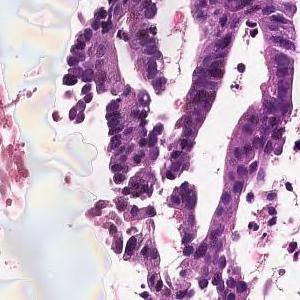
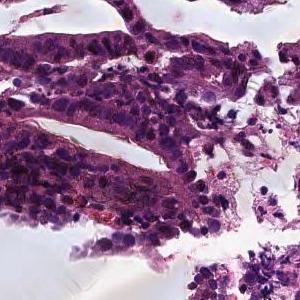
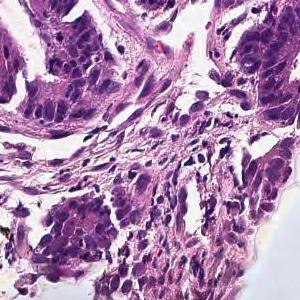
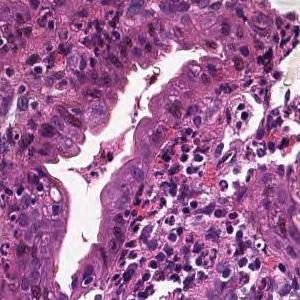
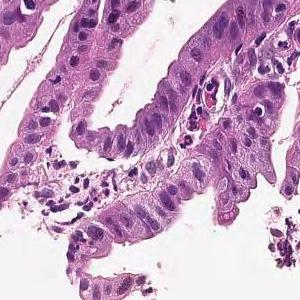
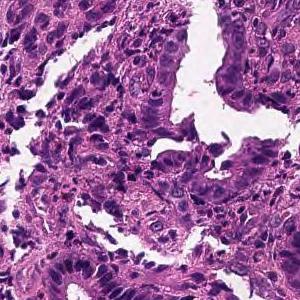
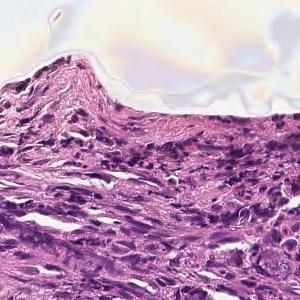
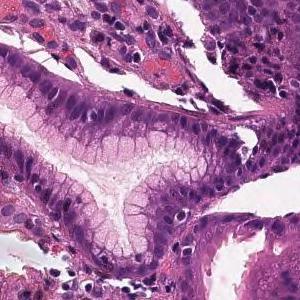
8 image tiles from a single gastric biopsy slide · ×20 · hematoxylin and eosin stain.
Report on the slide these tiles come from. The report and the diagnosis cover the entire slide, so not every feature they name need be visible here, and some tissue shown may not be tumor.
From the superficial epithelium to the muscularis mucosae, tumor tissue consisting of medium-sized and irregular glandular ducts infiltrating is observed. Well differentiated tubular adenocarcinoma
